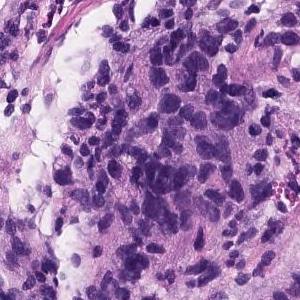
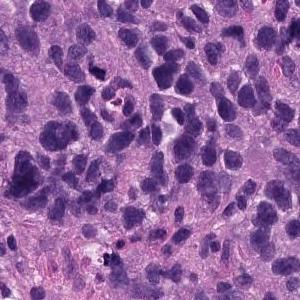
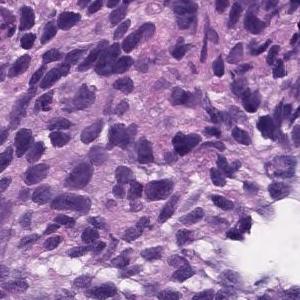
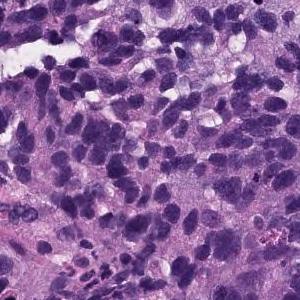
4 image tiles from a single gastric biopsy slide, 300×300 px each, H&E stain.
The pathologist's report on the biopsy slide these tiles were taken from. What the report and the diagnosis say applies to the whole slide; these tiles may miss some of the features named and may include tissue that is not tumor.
Atypical l cells with atypical nuclei under the mucosa growing in isolation and scattered. Poorly differentiated adenocarcinoma (poorly differentiated adenocarcinoma, non-solid type)
Tumor subtype: poorly differentiated adenocarcinoma, non-solid type.
"Non-solid type" is a category of the Japanese Classification of Gastric Carcinoma.
